H&E stain · 6 patches cut from one gastric biopsy slide.
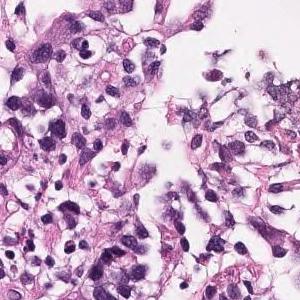
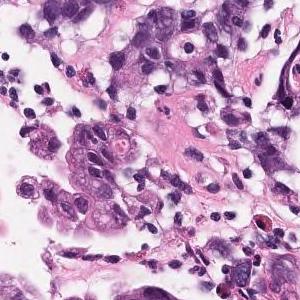
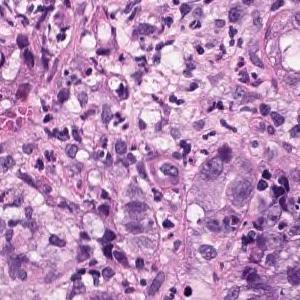
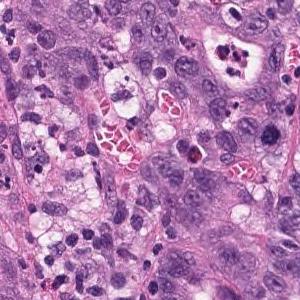
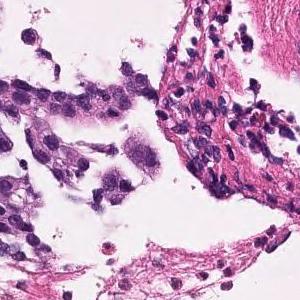
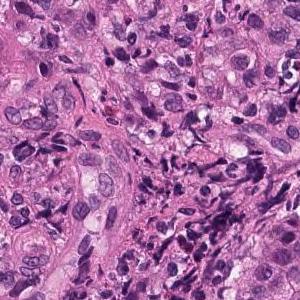
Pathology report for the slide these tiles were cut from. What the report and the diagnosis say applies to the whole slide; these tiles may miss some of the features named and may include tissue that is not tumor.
Atypical ducts proliferating with obscure duct construction and solid sequences is observed. Moderately to poorly differentiated adenocarcinoma.
